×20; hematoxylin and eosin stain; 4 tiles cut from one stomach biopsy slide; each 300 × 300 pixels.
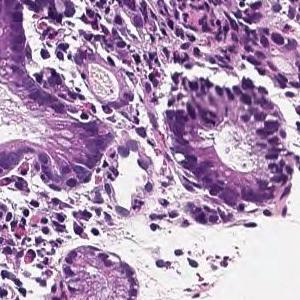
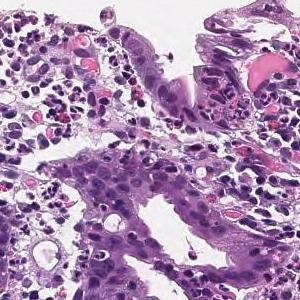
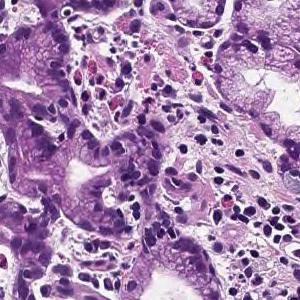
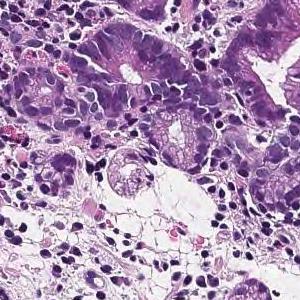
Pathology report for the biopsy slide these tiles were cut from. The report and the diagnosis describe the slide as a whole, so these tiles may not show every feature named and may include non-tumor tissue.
In the superficial epithelium, tumor tissue that invades by forming medium-sized to small, irregular ducts is observed. moderately differentiated tubular adenocarcinoma.
